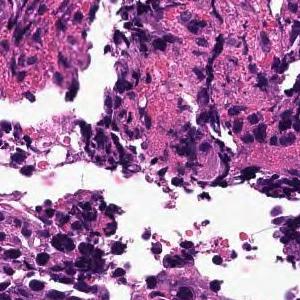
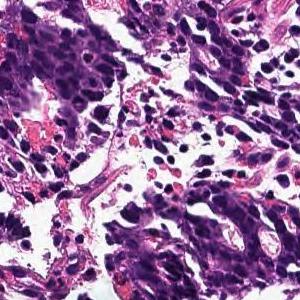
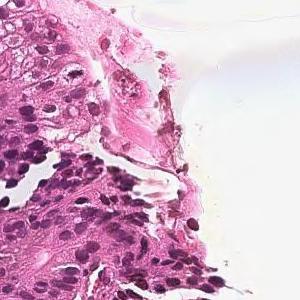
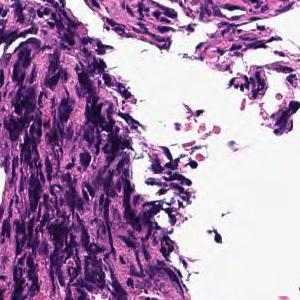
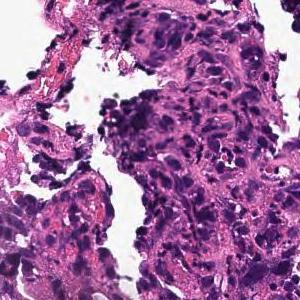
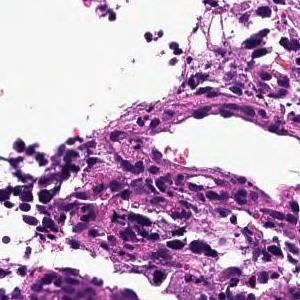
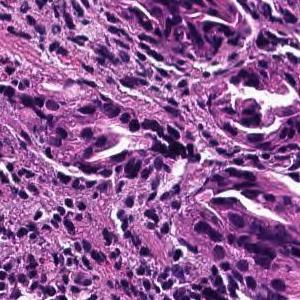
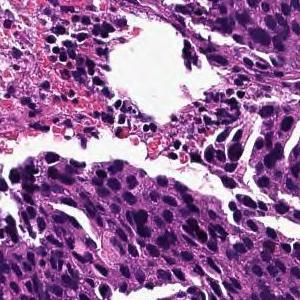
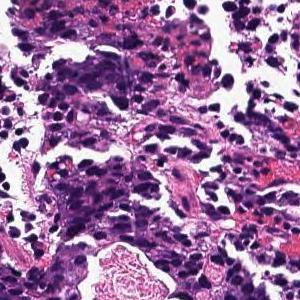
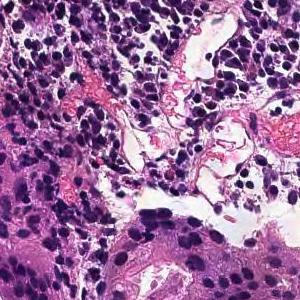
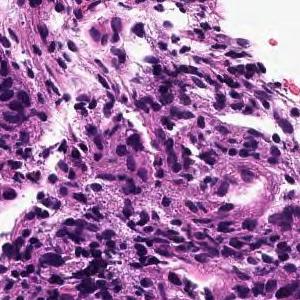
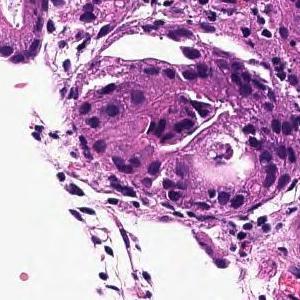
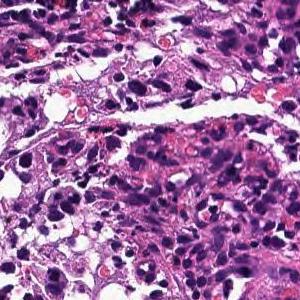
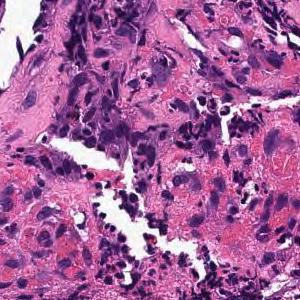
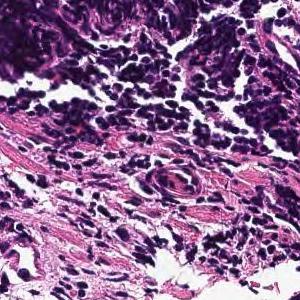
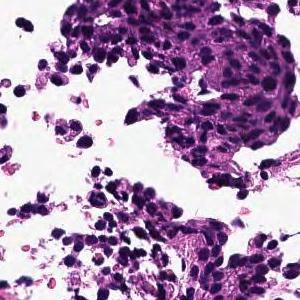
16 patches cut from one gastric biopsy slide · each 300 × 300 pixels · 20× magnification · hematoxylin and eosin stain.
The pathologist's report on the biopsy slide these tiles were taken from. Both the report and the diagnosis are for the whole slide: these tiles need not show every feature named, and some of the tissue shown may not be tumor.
In the superficial epithelium, tumor tissue that invades by forming medium-sized to small, irregular ducts is observed. moderately differentiated tubular adenocarcinoma.
